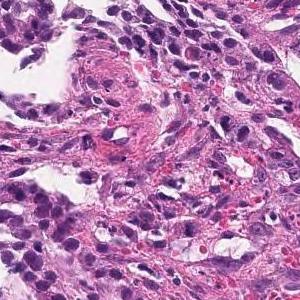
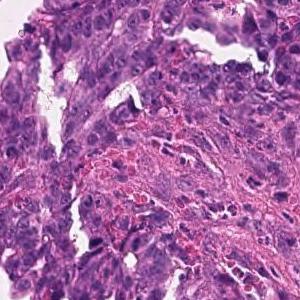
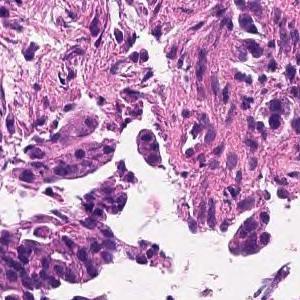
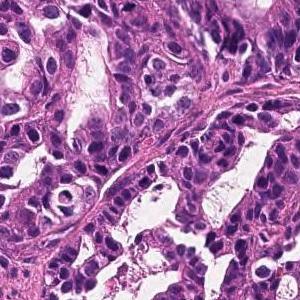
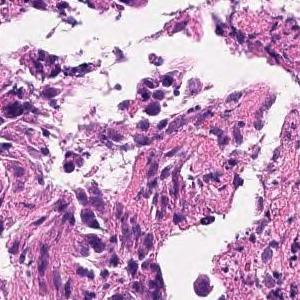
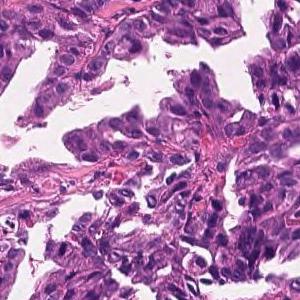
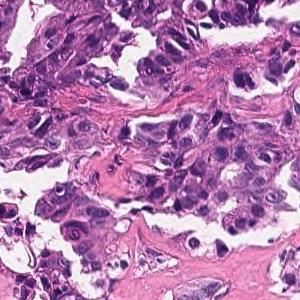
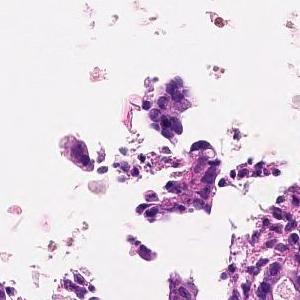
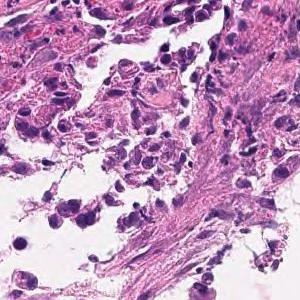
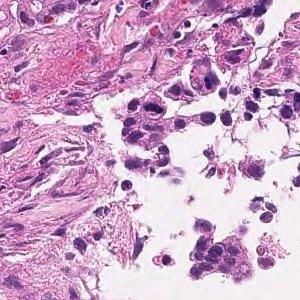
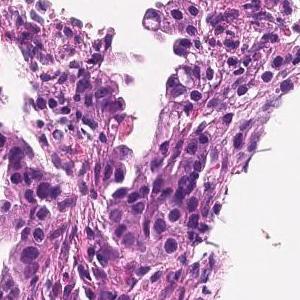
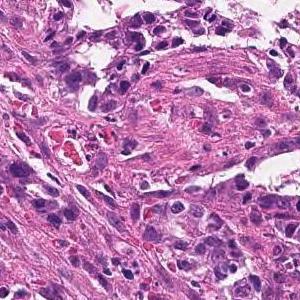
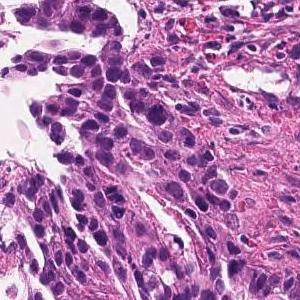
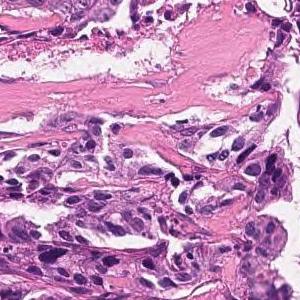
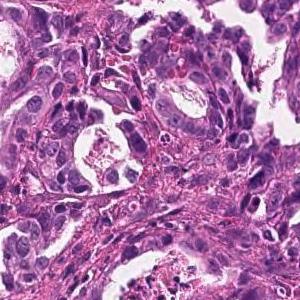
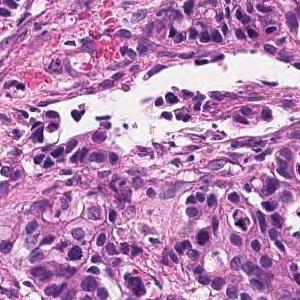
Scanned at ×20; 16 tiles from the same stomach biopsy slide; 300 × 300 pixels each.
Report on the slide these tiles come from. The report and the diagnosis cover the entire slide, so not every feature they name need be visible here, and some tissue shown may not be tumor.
On the superficial epithelium, tumor tissue consisting of images of small to medium-sized and irregular tubules infiltrating with irregular fusion is observed. moderately differentiated tubular adenocarcinoma
